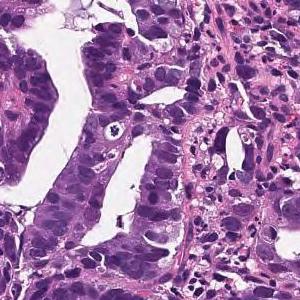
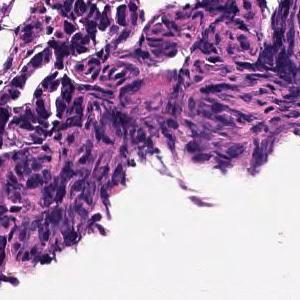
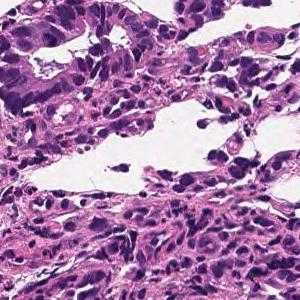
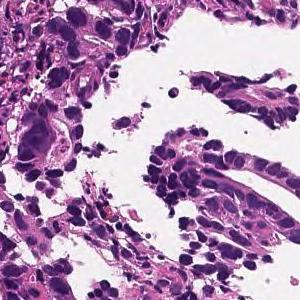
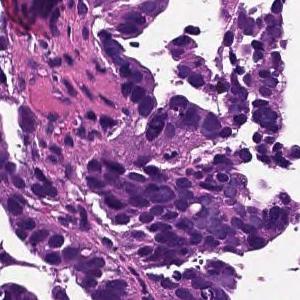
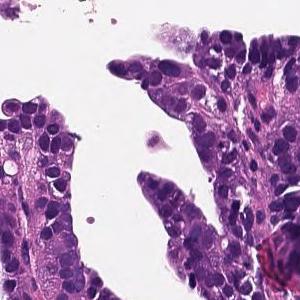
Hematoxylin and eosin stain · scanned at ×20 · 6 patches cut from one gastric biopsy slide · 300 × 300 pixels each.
Diagnostic report for the slide these tiles come from. What the report and the diagnosis say applies to the whole slide; these tiles may miss some of the features named and may include tissue that is not tumor.
Tumor cells are large, highly columnar, large club-shaped nuclei, and are associated with chromatin aggregation. Papillary adenocarcinoma.
